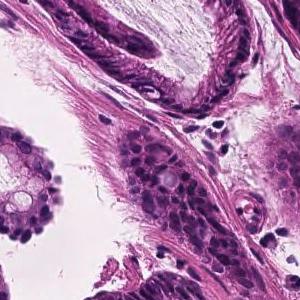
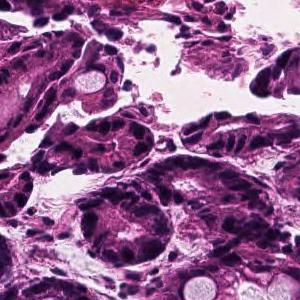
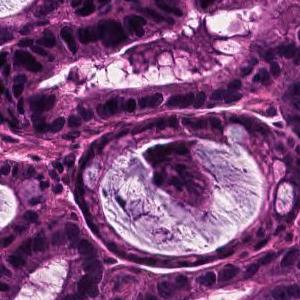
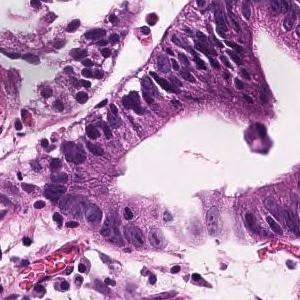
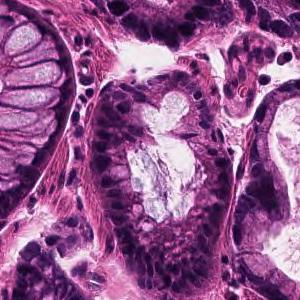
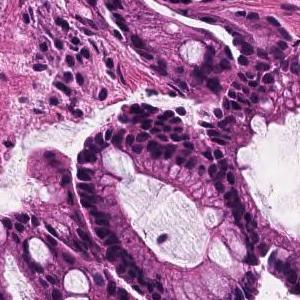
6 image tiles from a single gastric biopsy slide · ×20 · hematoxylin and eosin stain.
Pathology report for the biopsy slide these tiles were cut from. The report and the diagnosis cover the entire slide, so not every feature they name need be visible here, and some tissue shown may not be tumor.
In the superficial epithelium, tumor tissue that invades by forming medium-sized to small, irregular ducts is observed. Well differentiated tubular adenocarcinoma.
